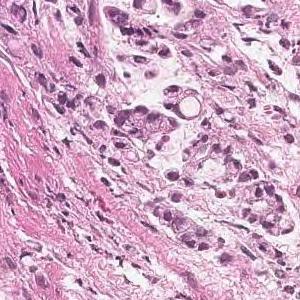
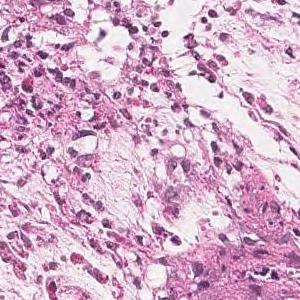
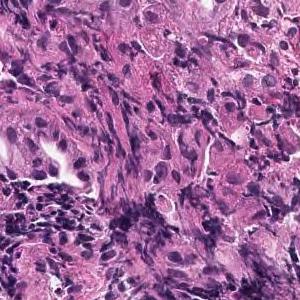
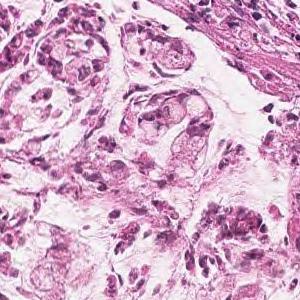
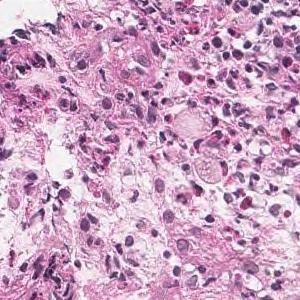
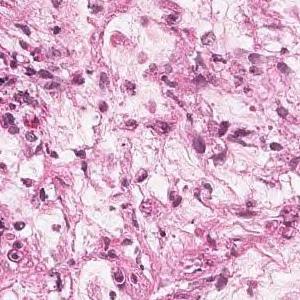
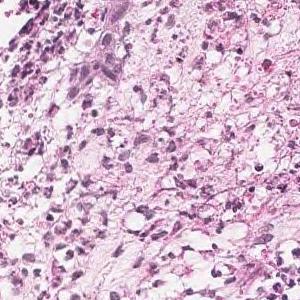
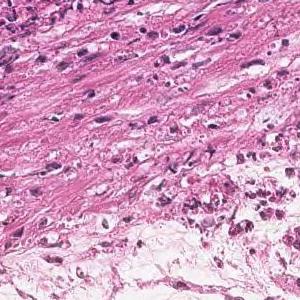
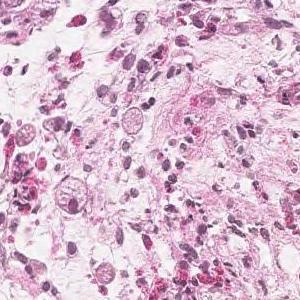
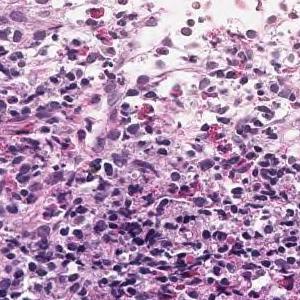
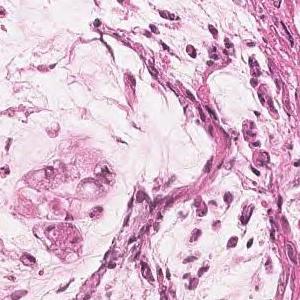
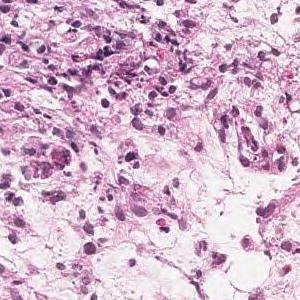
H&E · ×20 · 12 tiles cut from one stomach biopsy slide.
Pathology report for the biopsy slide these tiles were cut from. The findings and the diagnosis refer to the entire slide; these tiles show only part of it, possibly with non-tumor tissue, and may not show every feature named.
Tumor tissue is observed in which atypical epithelial cells with mucus in the vesicles proliferate while being isolated. Signet ring cell carcinoma
